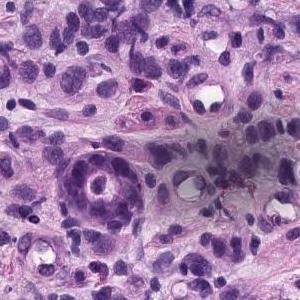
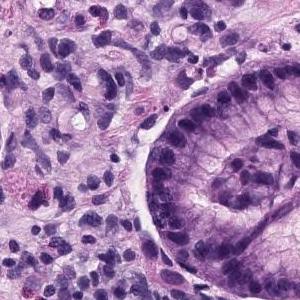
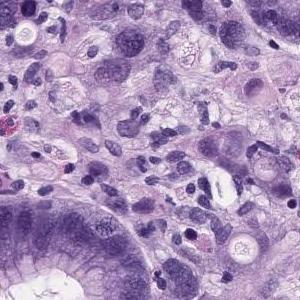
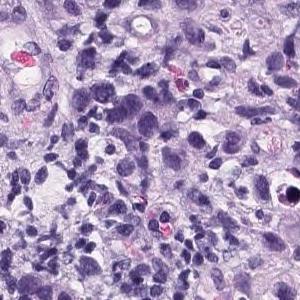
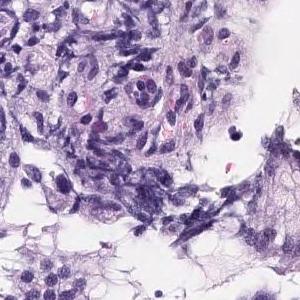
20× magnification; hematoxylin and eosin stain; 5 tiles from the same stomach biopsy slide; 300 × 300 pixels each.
The pathologist's report on the biopsy slide these tiles were taken from. The report describes the whole slide, diagnosis included: not every finding it names need appear in these tiles, which may also show non-tumor tissue.
Group 5, Adenocarcinoma. Poorly differentiated adenocarcinoma, non-solid type
The term "non-solid type" comes from the Japanese Classification of Gastric Carcinoma.
